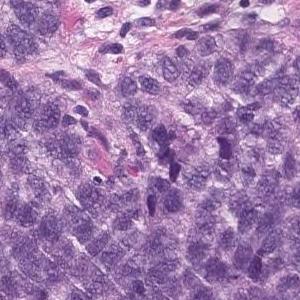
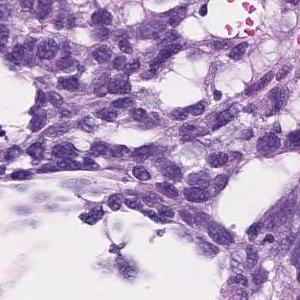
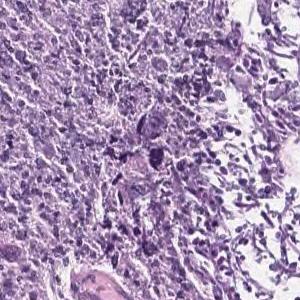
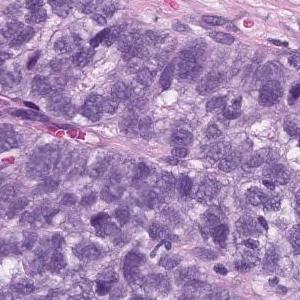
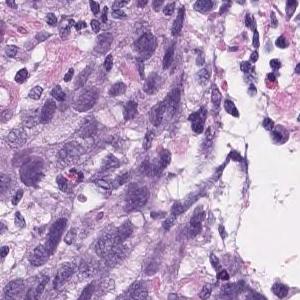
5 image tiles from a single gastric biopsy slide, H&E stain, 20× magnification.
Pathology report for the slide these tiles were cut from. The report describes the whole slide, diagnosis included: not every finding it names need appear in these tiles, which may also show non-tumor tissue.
Epithelial cells with swollen nuclei with atypia invasively proliferating while forming vesicles is observed. Poorly differentiated adenocarcinoma
Subtype: Poorly differentiated adenocarcinoma, solid type. This name comes from the Japanese Classification of Gastric Carcinoma; the WHO 2019 classification calls it tubular adenocarcinoma, poorly differentiated.
